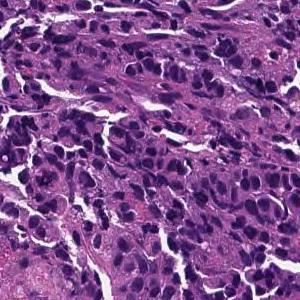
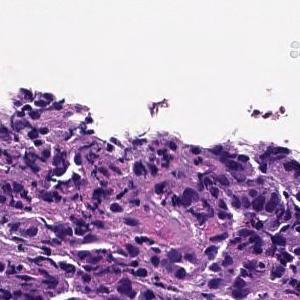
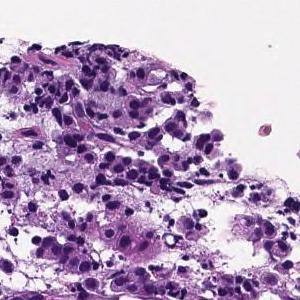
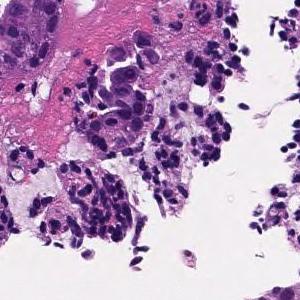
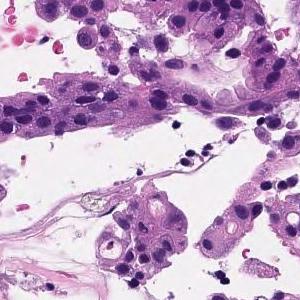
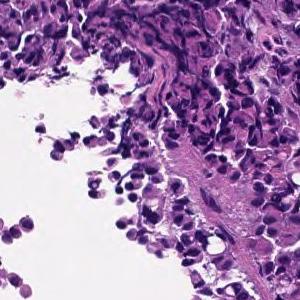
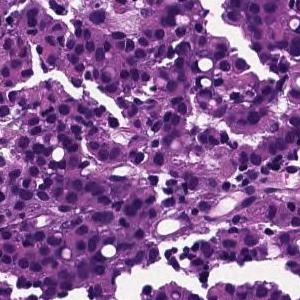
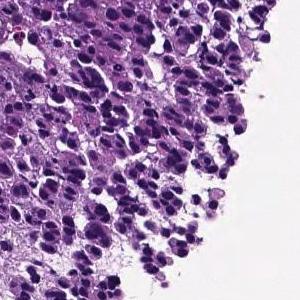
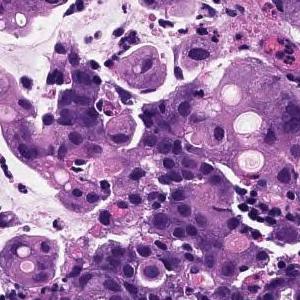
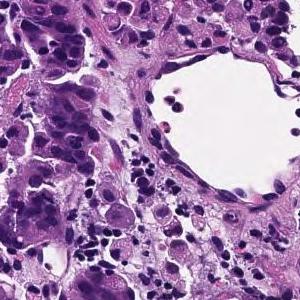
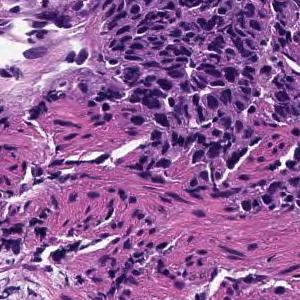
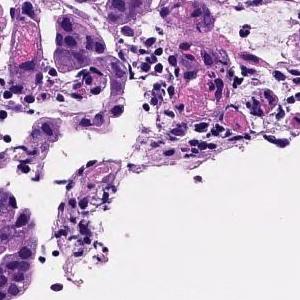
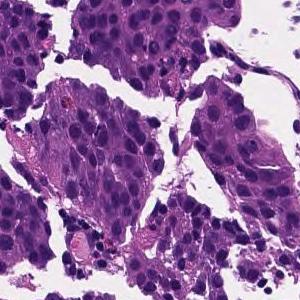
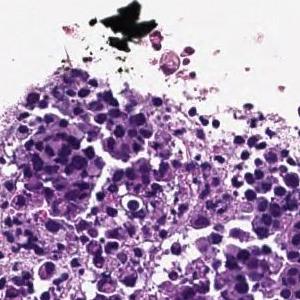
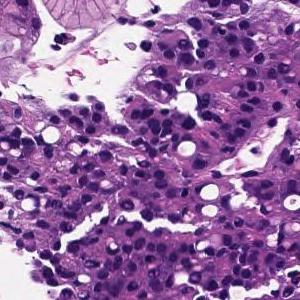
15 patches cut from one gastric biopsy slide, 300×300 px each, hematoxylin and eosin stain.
Pathology report for the biopsy slide these tiles were cut from. Both the report and the diagnosis are for the whole slide: these tiles need not show every feature named, and some of the tissue shown may not be tumor.
The superficial epithelium shows a large sheet-like shape, and some tumor tissue infiltrates with small irregular ducts. Poorly differentiated adenocarcinoma, solid-type
Histologic type: Poorly differentiated adenocarcinoma, solid type, a category of the Japanese Classification of Gastric Carcinoma; in the WHO 2019 classification it is tubular adenocarcinoma, poorly differentiated.
